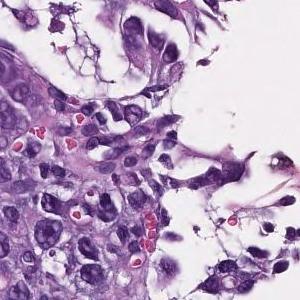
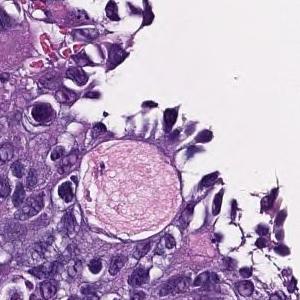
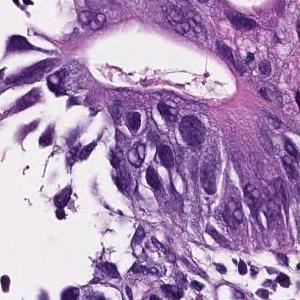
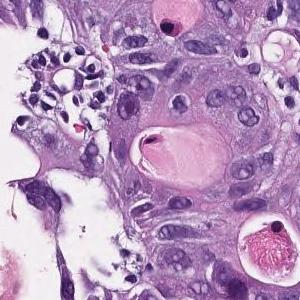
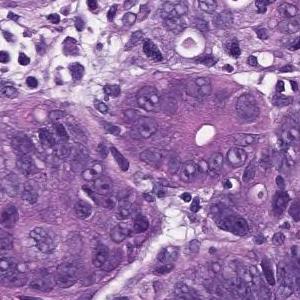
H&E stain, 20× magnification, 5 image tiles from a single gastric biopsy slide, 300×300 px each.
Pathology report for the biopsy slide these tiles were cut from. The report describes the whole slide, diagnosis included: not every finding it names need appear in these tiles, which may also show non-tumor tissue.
In the superficial epithelium, tumor tissue that invades by forming medium-sized to small, irregular ducts is observed. moderately differentiated tubular adenocarcinoma.
